12 patches cut from one gastric biopsy slide, 20× magnification, hematoxylin and eosin stain.
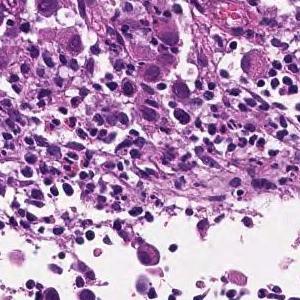
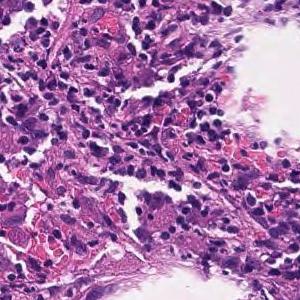
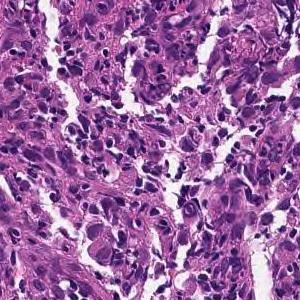
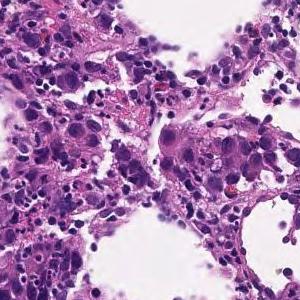
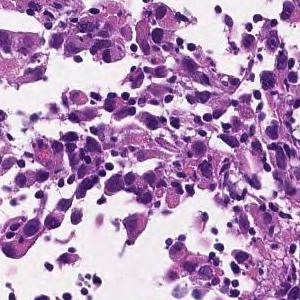
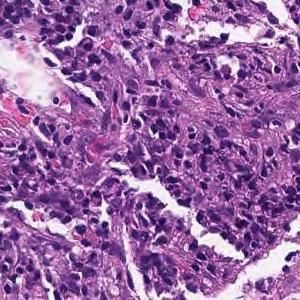
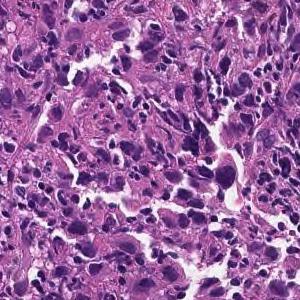
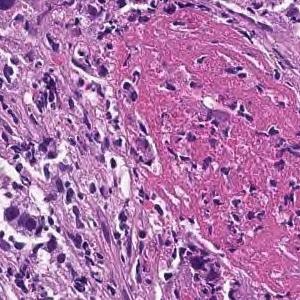
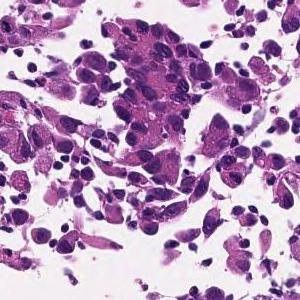
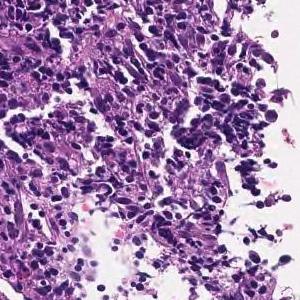
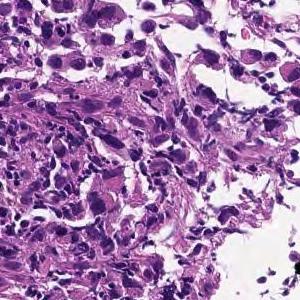
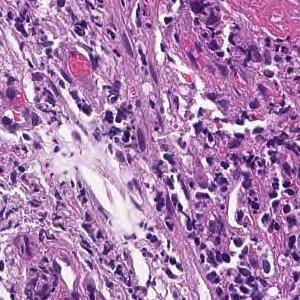
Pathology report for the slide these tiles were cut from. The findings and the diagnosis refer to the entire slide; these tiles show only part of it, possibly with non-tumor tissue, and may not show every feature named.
The superficial epithelium shows a large sheet-like shape, and some tumor tissue infiltrates with small irregular ducts. Poorly differentiated adenocarcinoma, solid-type (poorly differentiated adenocarcinoma, solid type)
Histological subtype: Poorly differentiated adenocarcinoma, solid type. This name comes from the Japanese Classification of Gastric Carcinoma; the WHO 2019 classification calls it tubular adenocarcinoma, poorly differentiated.
